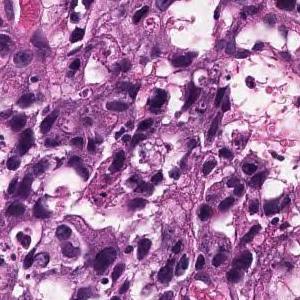
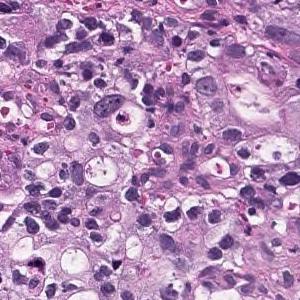
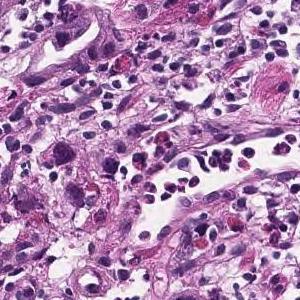
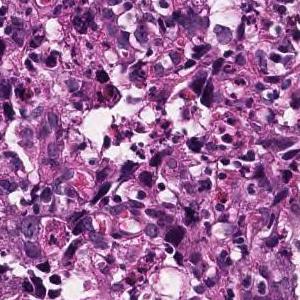
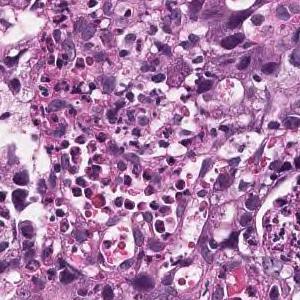
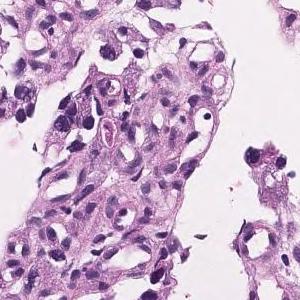
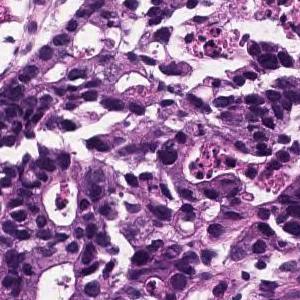
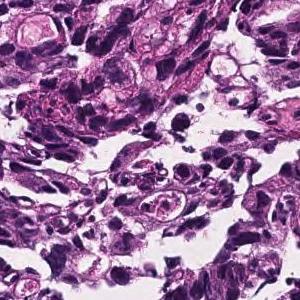
8 image tiles from a single gastric biopsy slide; 300×300 px each; H&E.
Report on the slide these tiles come from. Both the report and the diagnosis are for the whole slide: these tiles need not show every feature named, and some of the tissue shown may not be tumor.
Tumor tissue consisting of medium-sized, cord-like or irregular glandular infiltration is observed in the superficial epithelium. Poorly differentiated adenocarcinoma, non-solid type or moderately differentiated tubular adenocarcinoma
The term "non-solid type" comes from the Japanese Classification of Gastric Carcinoma.
